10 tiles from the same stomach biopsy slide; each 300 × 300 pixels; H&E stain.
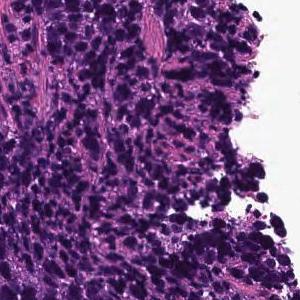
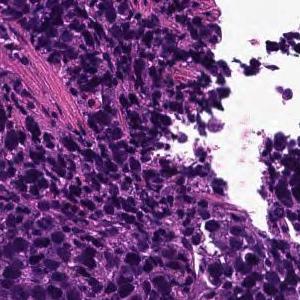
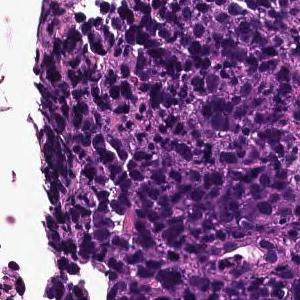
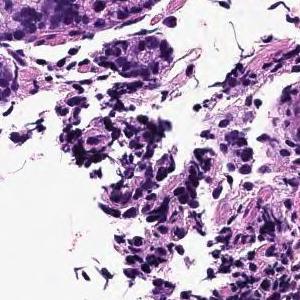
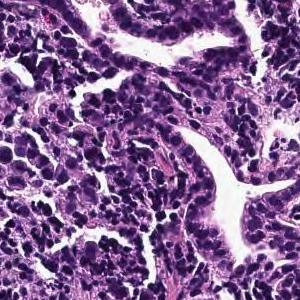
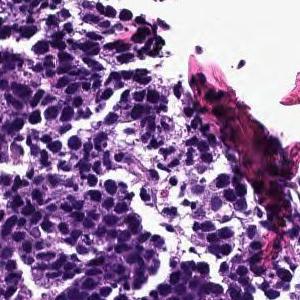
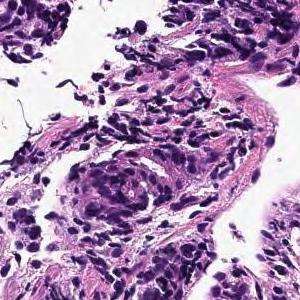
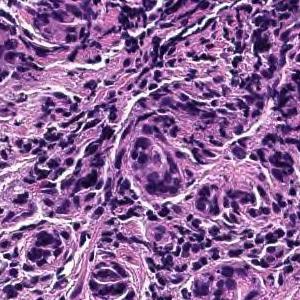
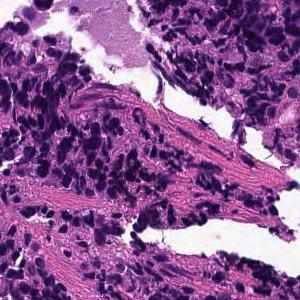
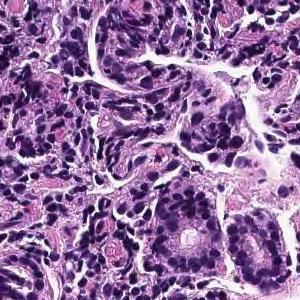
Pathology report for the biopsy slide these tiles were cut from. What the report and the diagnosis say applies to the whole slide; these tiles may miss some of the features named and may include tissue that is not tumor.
The superficial epithelium shows large alveolar or sheet-like forms, and some tumor tissue infiltrates with small irregular ducts. Poorly differentiated adenocarcinoma, solid-type
Histological subtype: Poorly differentiated adenocarcinoma, solid type (Japanese Classification of Gastric Carcinoma). The WHO 2019 equivalent is tubular adenocarcinoma, poorly differentiated.
